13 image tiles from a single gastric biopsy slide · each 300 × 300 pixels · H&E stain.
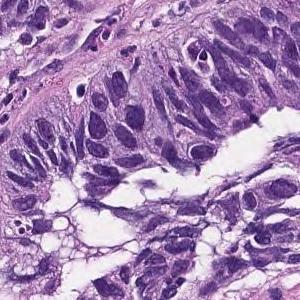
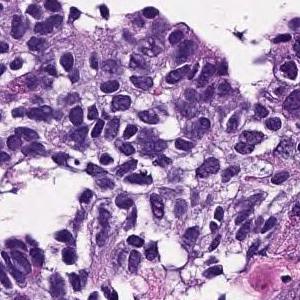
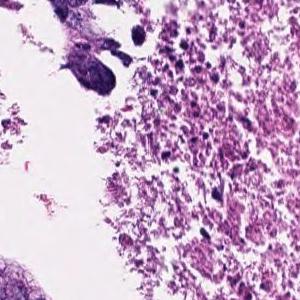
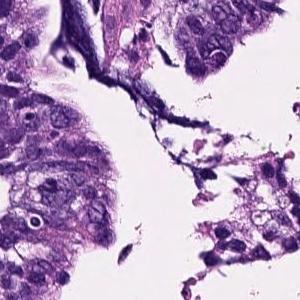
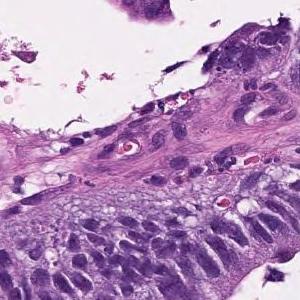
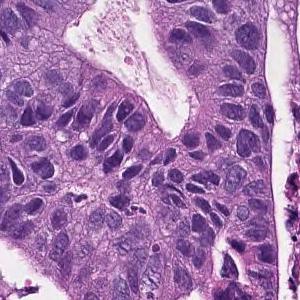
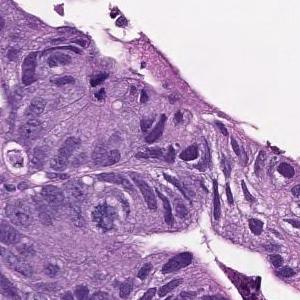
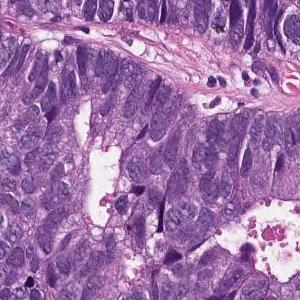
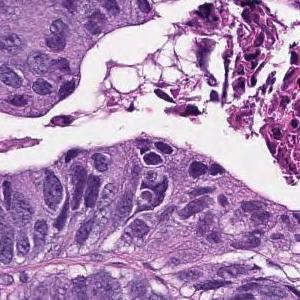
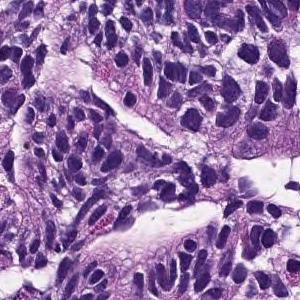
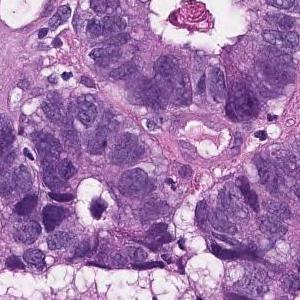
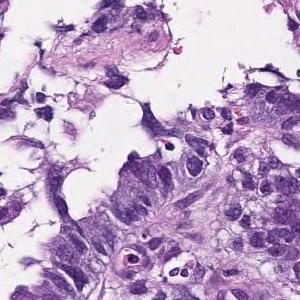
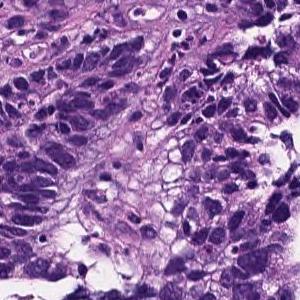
Diagnostic report for the slide these tiles come from. The report and the diagnosis cover the entire slide, so not every feature they name need be visible here, and some tissue shown may not be tumor.
In the superficial epithelium, tumor tissue that invades by forming medium-sized to small, irregular ducts is observed. moderately differentiated tubular adenocarcinoma.
